Hematoxylin and eosin stain · 10 tiles cut from one stomach biopsy slide · 300 × 300 pixels each.
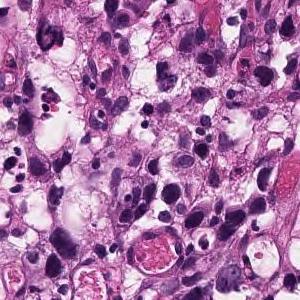
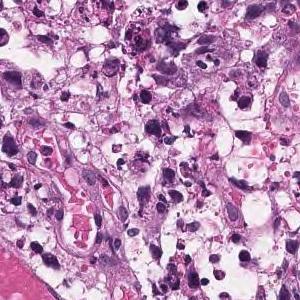
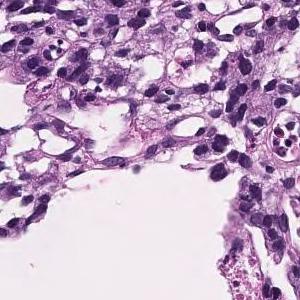
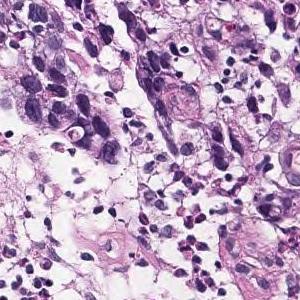
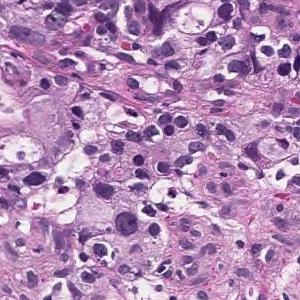
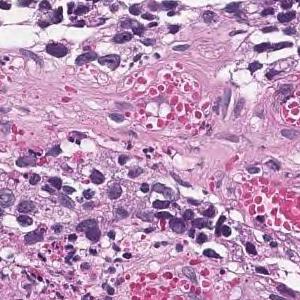
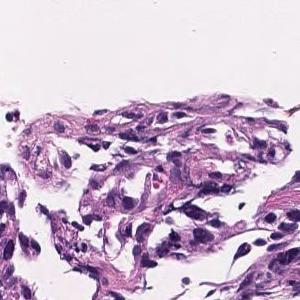
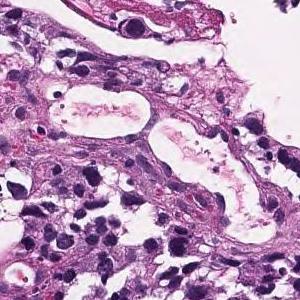
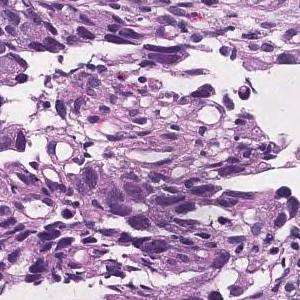
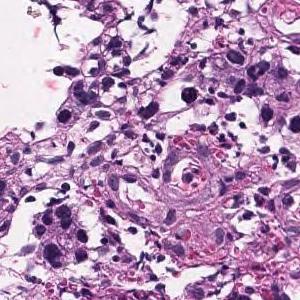
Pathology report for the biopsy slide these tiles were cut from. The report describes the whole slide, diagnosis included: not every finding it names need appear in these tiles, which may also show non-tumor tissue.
Tumor tissue consisting of medium-sized, cord-like or irregular glandular infiltration is observed in the superficial epithelium. Poorly differentiated adenocarcinoma, non-solid type or moderately differentiated tubular adenocarcinoma
The term "non-solid type" comes from the Japanese Classification of Gastric Carcinoma.
